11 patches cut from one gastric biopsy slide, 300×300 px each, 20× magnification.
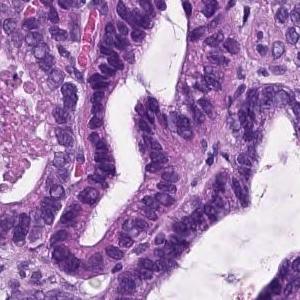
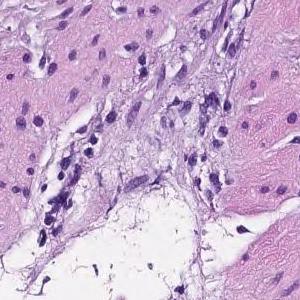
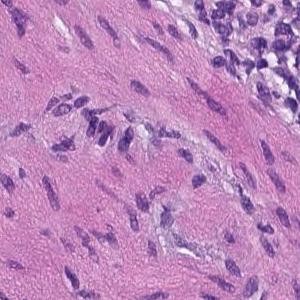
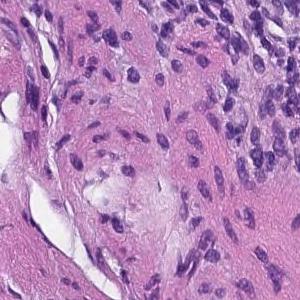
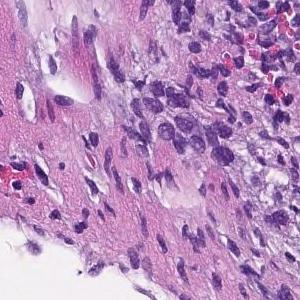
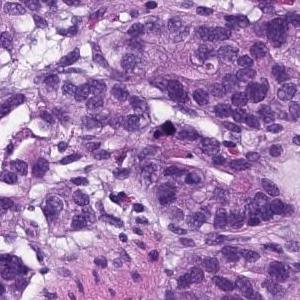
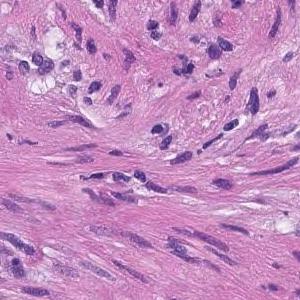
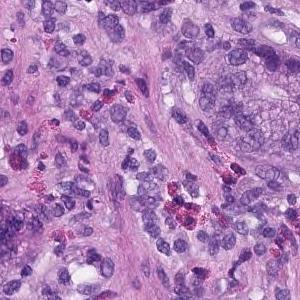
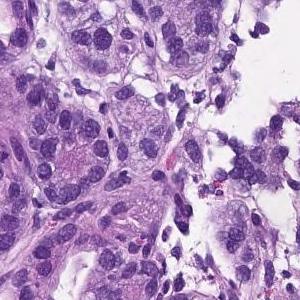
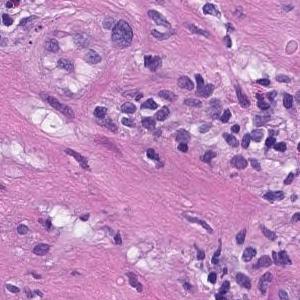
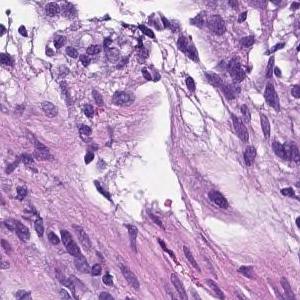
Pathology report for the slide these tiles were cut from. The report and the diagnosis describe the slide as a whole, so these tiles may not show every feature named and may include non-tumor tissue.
From the superficial epithelium to the muscularis mucosae, tumor tissue consisting of medium-sized and irregular glandular ducts infiltrating is observed. Well differentiated tubular adenocarcinoma
